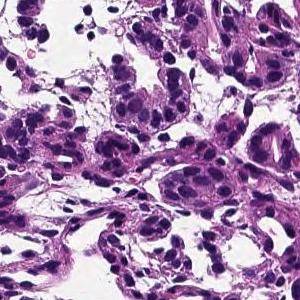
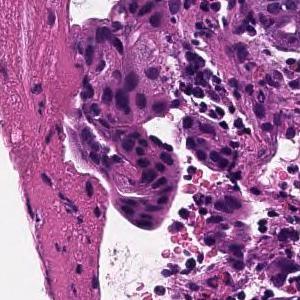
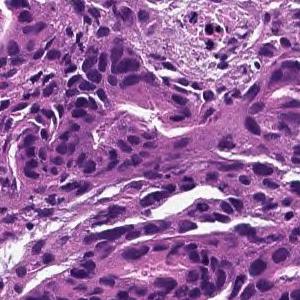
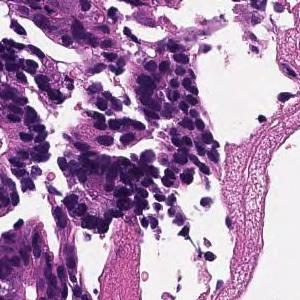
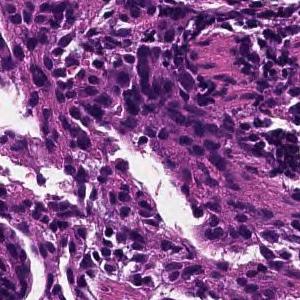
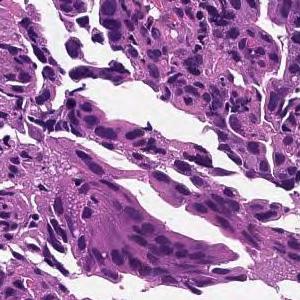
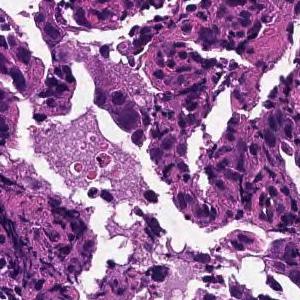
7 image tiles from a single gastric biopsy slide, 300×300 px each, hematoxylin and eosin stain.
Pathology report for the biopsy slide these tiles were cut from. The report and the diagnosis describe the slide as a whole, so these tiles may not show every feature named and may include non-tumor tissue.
In the superficial epithelium, tumor tissue that invades by forming medium-sized to small, irregular ducts is observed. moderately differentiated tubular adenocarcinoma.
